×20 · 15 tiles cut from one stomach biopsy slide · each 300 × 300 pixels.
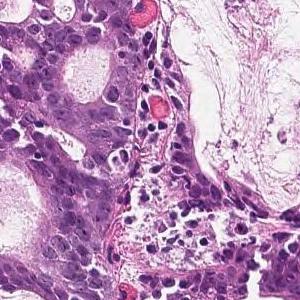
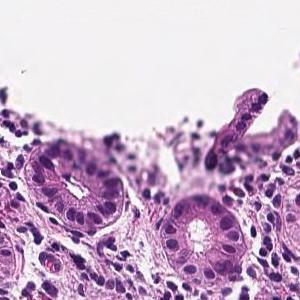
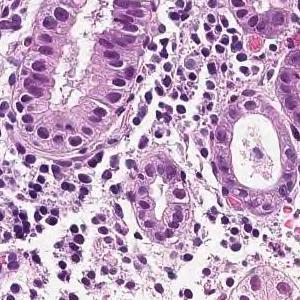
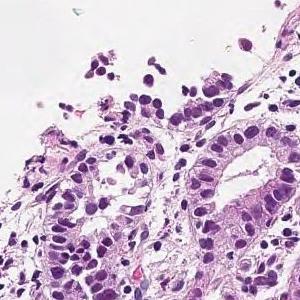
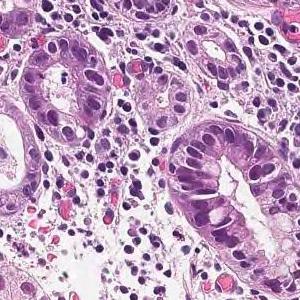
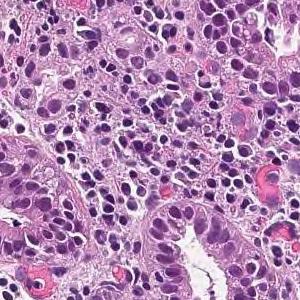
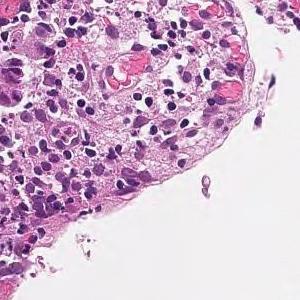
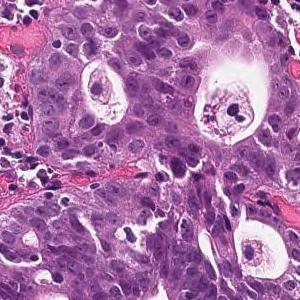
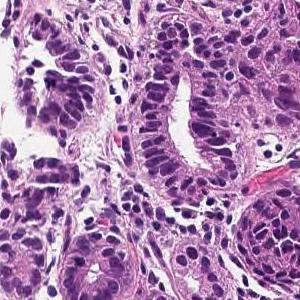
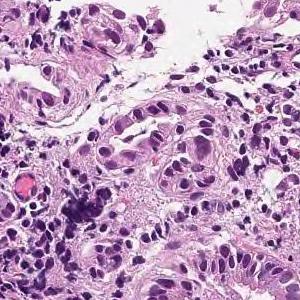
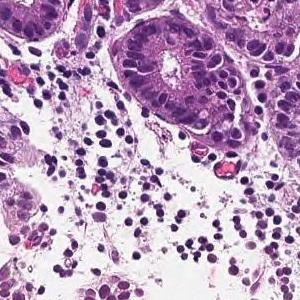
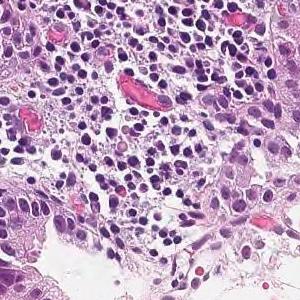
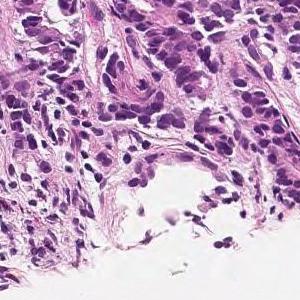
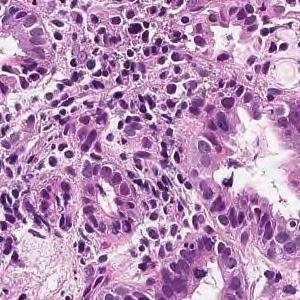
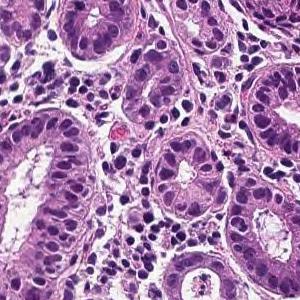
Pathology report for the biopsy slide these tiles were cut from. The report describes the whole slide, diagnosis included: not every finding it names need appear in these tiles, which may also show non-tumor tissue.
In the superficial epithelium, tumor tissue that invades by forming medium-sized to small, irregular ducts is observed. moderately differentiated tubular adenocarcinoma.
